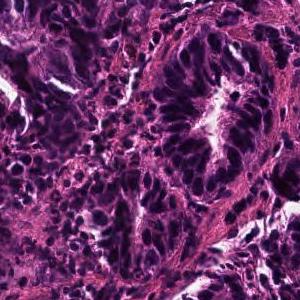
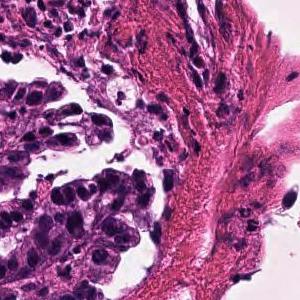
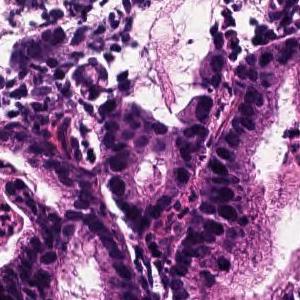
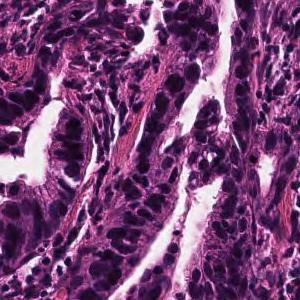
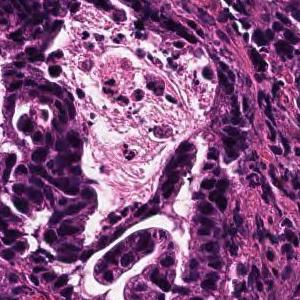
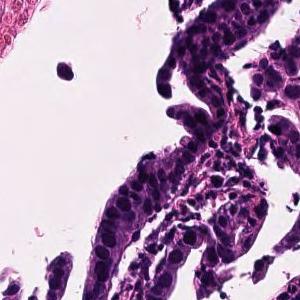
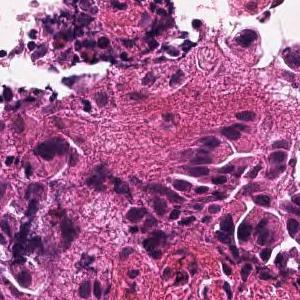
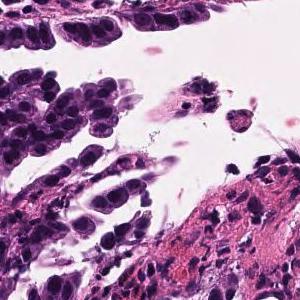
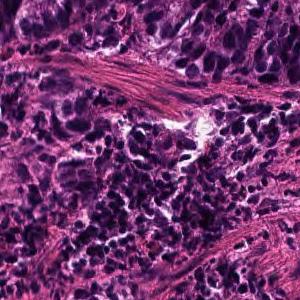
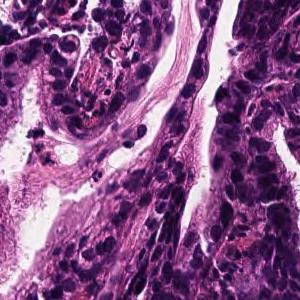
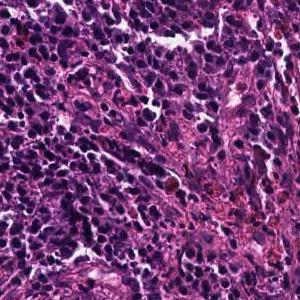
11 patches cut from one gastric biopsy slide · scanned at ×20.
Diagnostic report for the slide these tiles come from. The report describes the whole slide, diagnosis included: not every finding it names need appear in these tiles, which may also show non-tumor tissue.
Tumor tissue consisting of large papillary structures is found in the superficial epithelium. Papillary adenocarcinoma.
